Scanned at ×20 · H&E stain · 6 tiles from the same stomach biopsy slide · each 300 × 300 pixels.
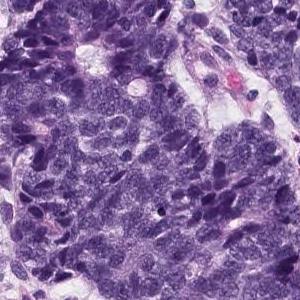
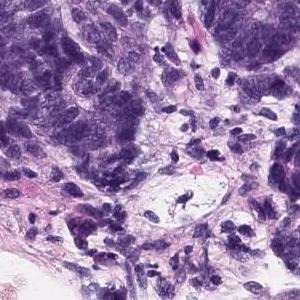
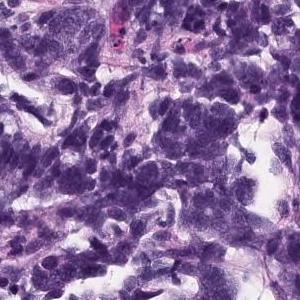
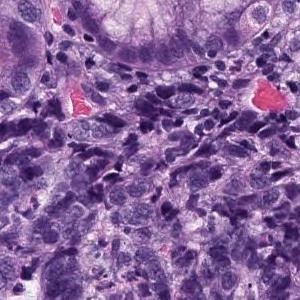
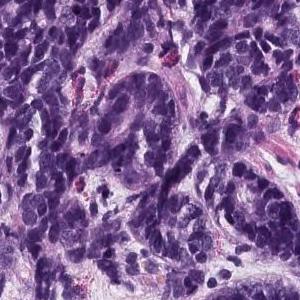
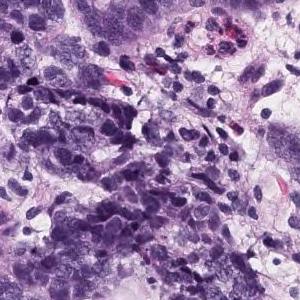
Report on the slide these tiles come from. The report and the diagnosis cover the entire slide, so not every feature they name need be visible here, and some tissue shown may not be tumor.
Group 5, Adenocarcinoma. Moderately to poorly differentiated adenocarcinoma
